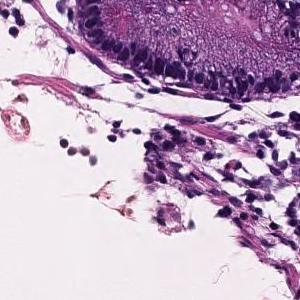
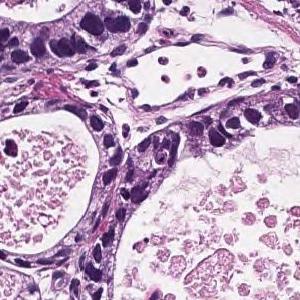
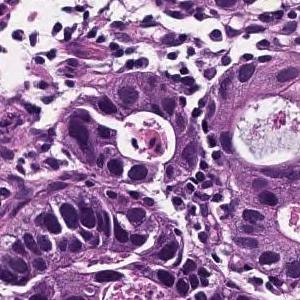
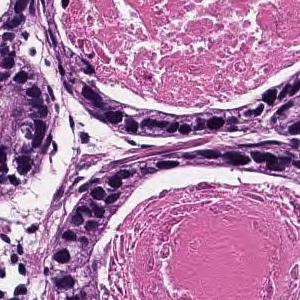
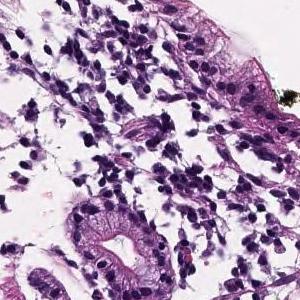
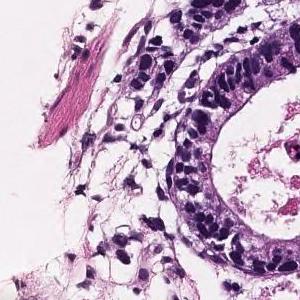
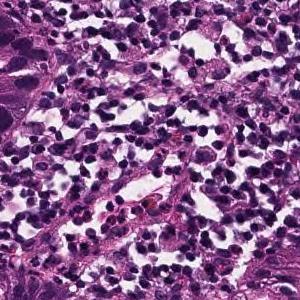
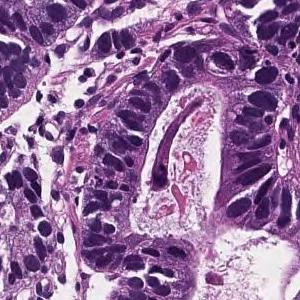
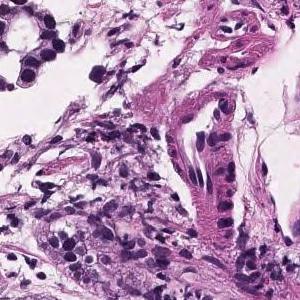
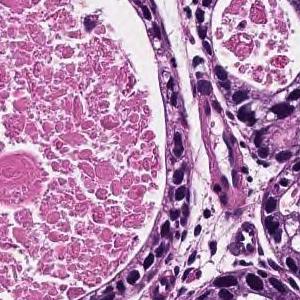
×20; H&E stain; 10 tiles from the same stomach biopsy slide; each 300 × 300 pixels.
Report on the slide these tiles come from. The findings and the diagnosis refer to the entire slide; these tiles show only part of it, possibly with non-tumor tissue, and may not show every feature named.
In the superficial epithelium, tumor tissue that invades by forming medium-sized to small, irregular ducts is observed. Well differentiated tubular adenocarcinoma.
